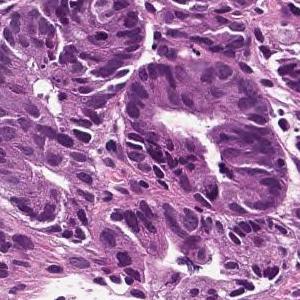
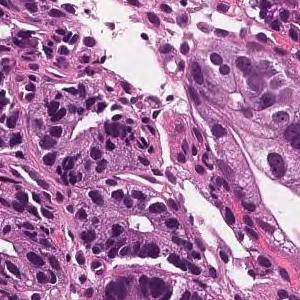
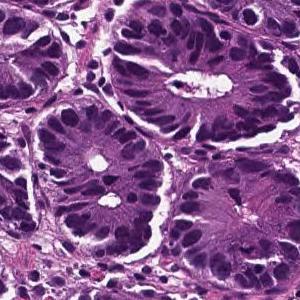
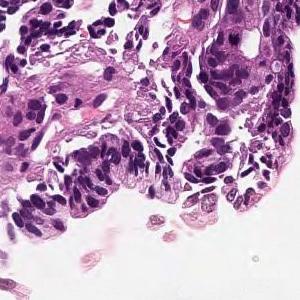
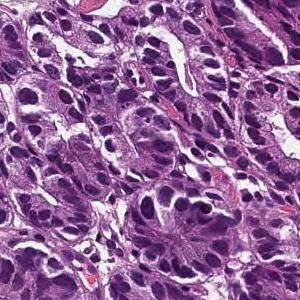
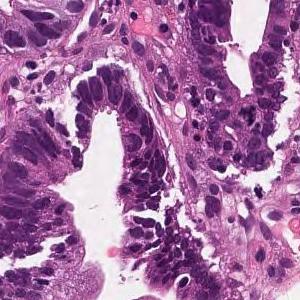
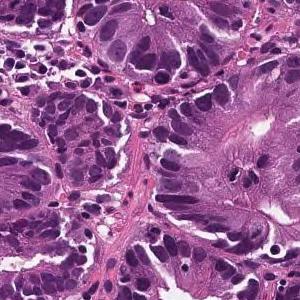
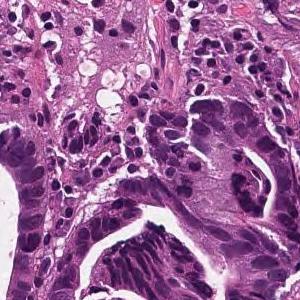
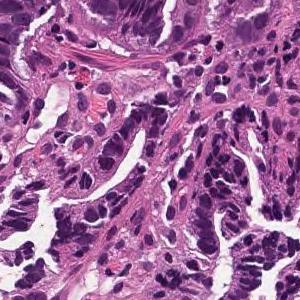
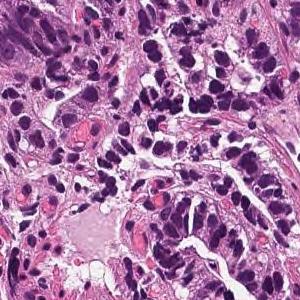
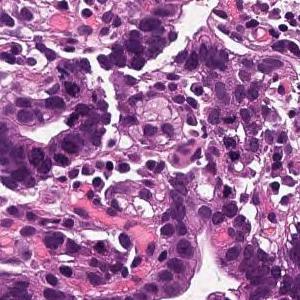
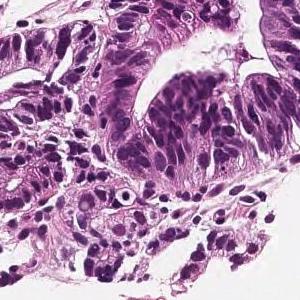
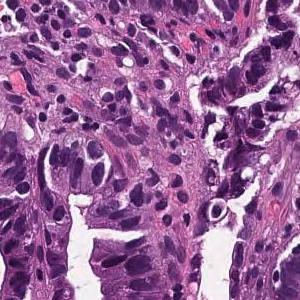
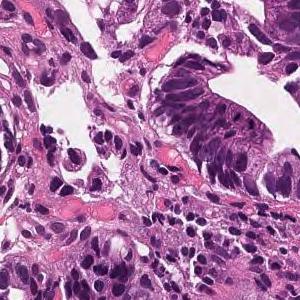
Scanned at ×20, 14 patches cut from one gastric biopsy slide.
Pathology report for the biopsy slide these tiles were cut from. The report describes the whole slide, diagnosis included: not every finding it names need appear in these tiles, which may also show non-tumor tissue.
From the superficial epithelium to the muscularis mucosae, tumor tissue consisting of medium-sized and irregular glandular ducts infiltrating is observed. Well differentiated tubular adenocarcinoma
